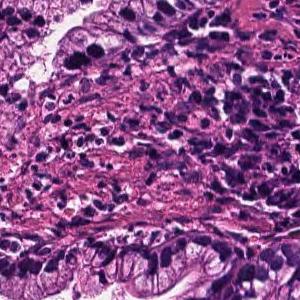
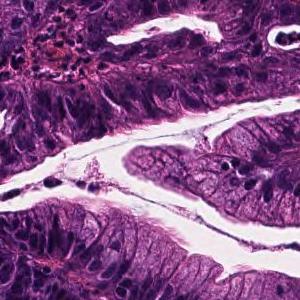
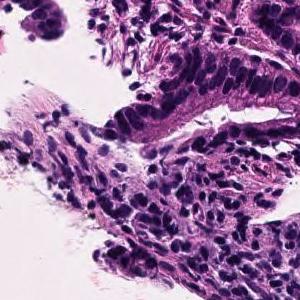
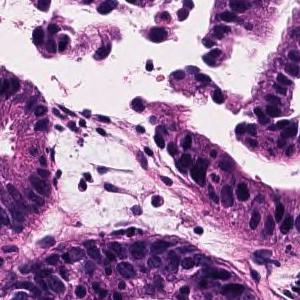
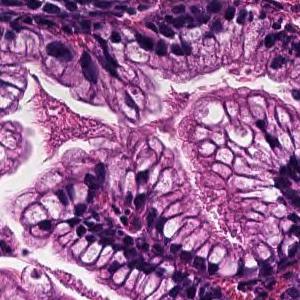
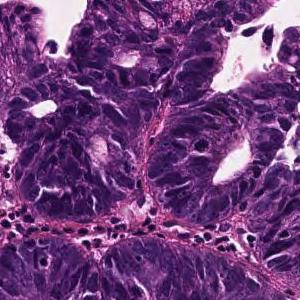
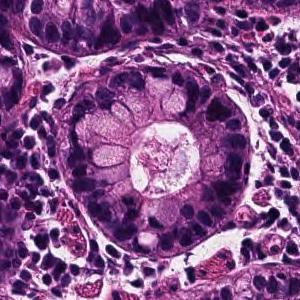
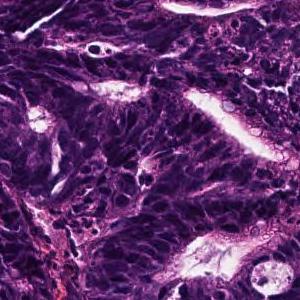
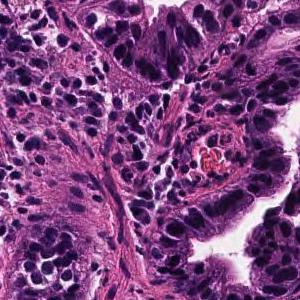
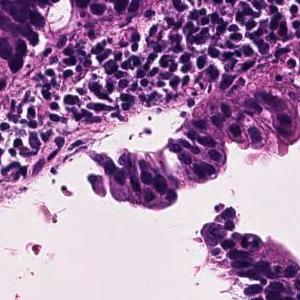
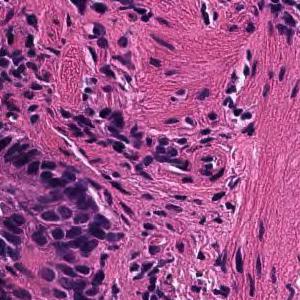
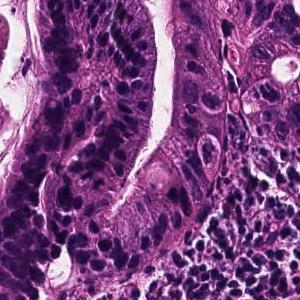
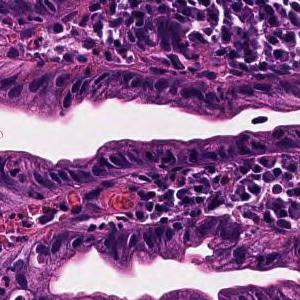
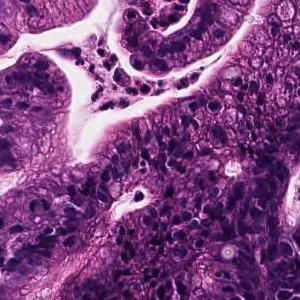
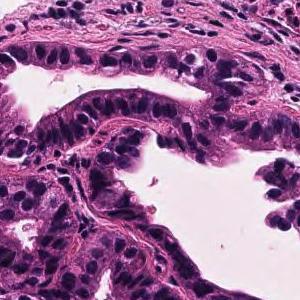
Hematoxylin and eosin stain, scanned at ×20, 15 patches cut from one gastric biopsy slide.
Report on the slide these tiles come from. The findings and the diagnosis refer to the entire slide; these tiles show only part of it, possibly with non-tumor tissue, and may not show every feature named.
Tumor cells are large, highly columnar, large club-shaped nuclei, and are associated with chromatin aggregation. Papillary adenocarcinoma.
